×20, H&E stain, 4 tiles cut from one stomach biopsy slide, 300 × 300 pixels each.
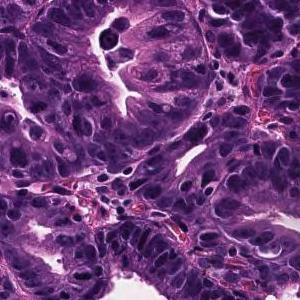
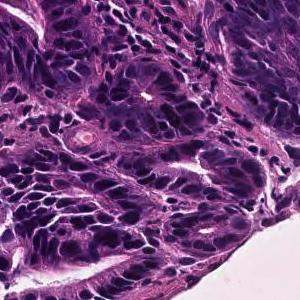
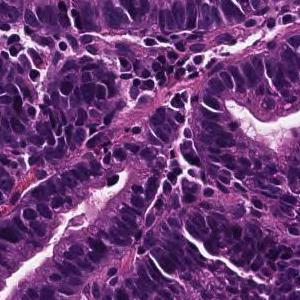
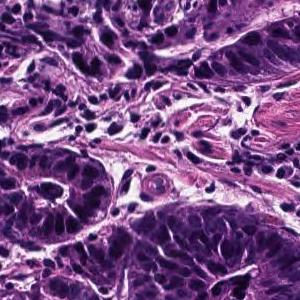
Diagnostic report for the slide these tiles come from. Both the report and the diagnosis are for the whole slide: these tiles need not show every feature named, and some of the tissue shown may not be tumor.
On the superficial epithelium, tumor tissue consisting of growth of medium-sized to large-sized, round or irregular glandular ducts is observed. Well differentiated tubular adenocarcinoma
